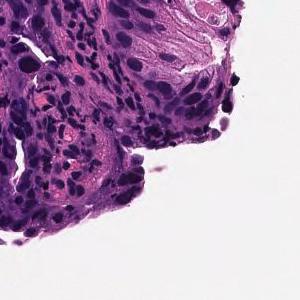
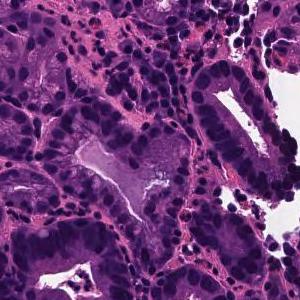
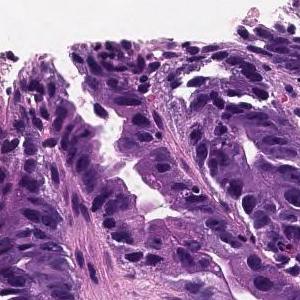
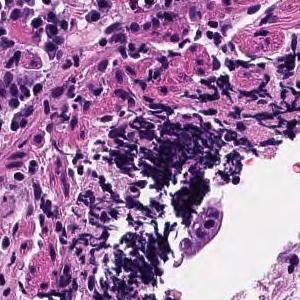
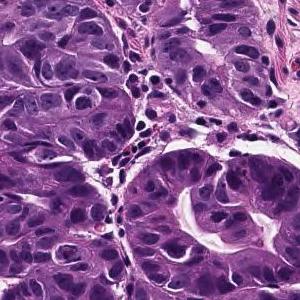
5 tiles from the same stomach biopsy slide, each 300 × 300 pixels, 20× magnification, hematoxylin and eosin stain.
The pathologist's report on the biopsy slide these tiles were taken from. The report describes the whole slide, diagnosis included: not every finding it names need appear in these tiles, which may also show non-tumor tissue.
On the superficial epithelium, tumor tissue consisting of large irregular glandular ducts partially fused and infiltrated is observed. Well to moderately differentiated tubular adenocarcinoma (well differentiated tubular adenocarcinoma, moderately differentiated tubular adenocarcinoma)
Histologic type: Well to moderately differentiated tubular adenocarcinoma.
